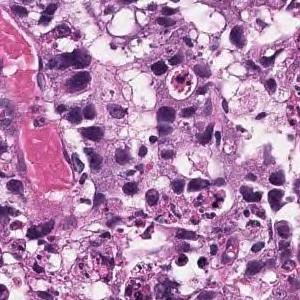
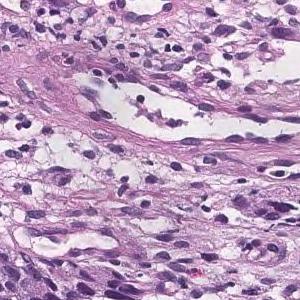
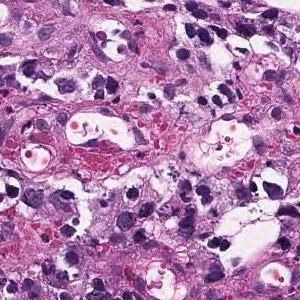
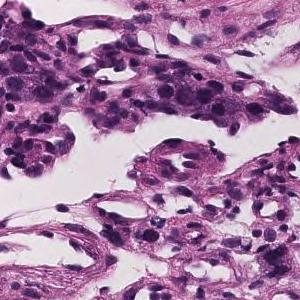
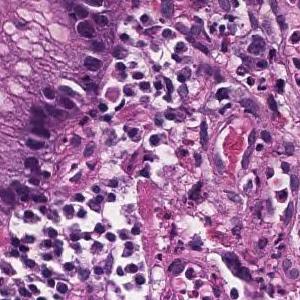
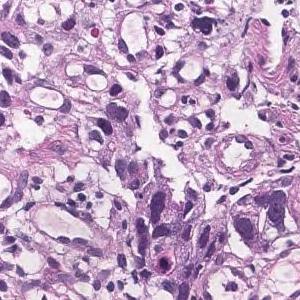
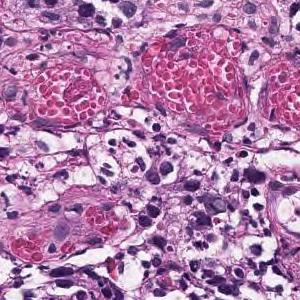
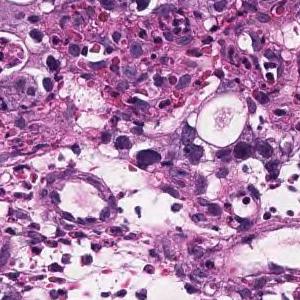
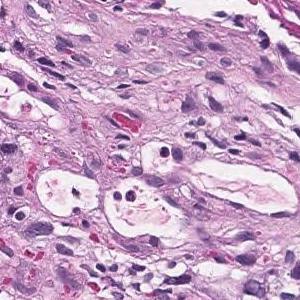
9 tiles from the same stomach biopsy slide, scanned at ×20.
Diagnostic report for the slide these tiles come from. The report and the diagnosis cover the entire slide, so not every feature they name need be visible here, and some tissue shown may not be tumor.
Tumor tissue consisting of medium-sized, cord-like or irregular glandular infiltration is observed in the superficial epithelium. Poorly differentiated adenocarcinoma, non-solid type or moderately differentiated tubular adenocarcinoma
"Non-solid type" is a category of the Japanese Classification of Gastric Carcinoma.
